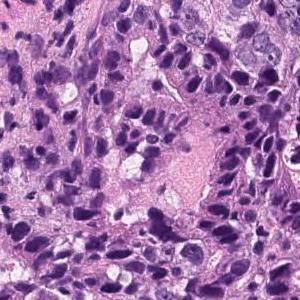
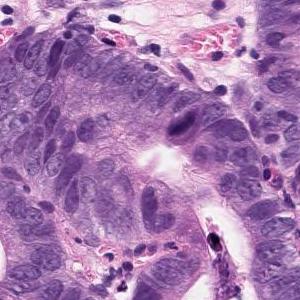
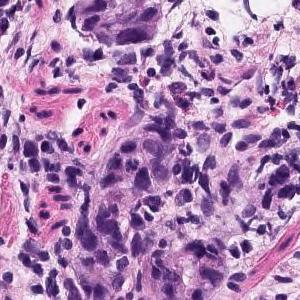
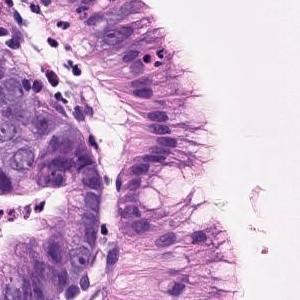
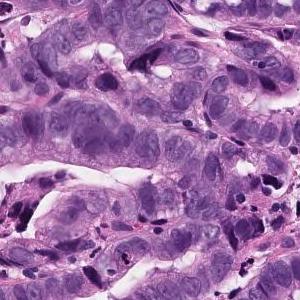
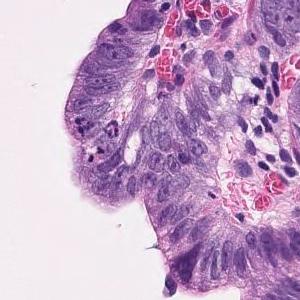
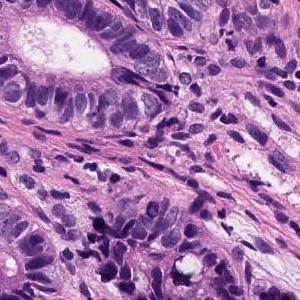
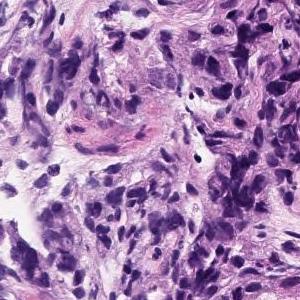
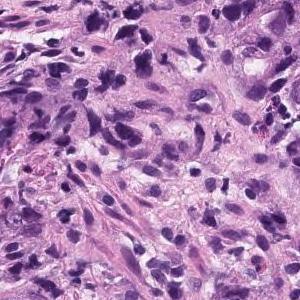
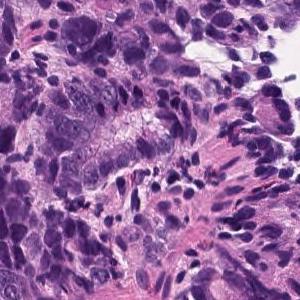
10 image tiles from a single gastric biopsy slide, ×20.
Report on the slide these tiles come from. The findings and the diagnosis refer to the entire slide; these tiles show only part of it, possibly with non-tumor tissue, and may not show every feature named.
The swollen atypical epithelium of the nucleus forms an irregular ductal structure and proliferates. moderately differentiated tubular adenocarcinoma
